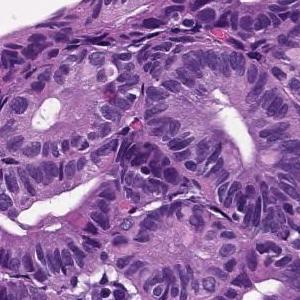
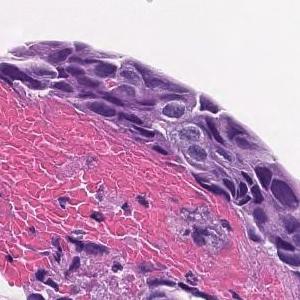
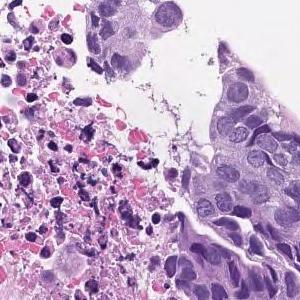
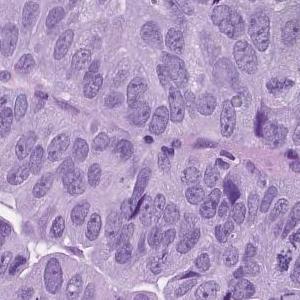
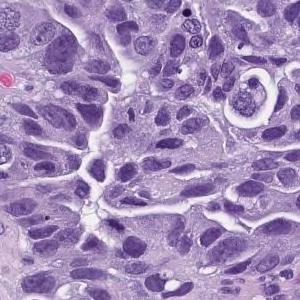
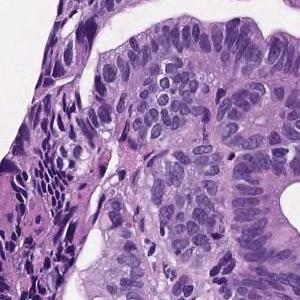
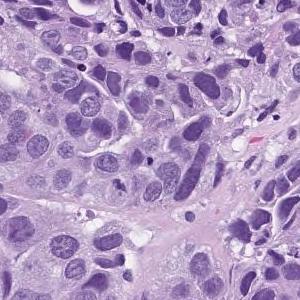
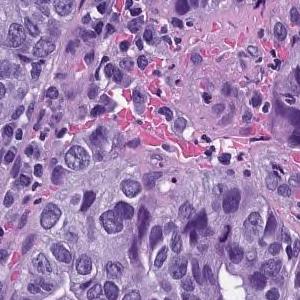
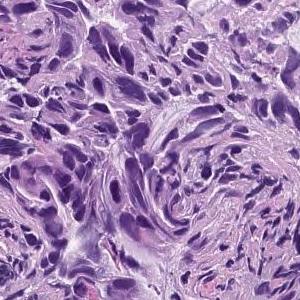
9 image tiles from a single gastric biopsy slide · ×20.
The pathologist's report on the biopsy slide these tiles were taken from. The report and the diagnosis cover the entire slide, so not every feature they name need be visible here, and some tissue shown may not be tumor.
In the superficial epithelium, tumor tissue that invades by forming medium-sized to small, irregular ducts is observed. moderately differentiated tubular adenocarcinoma.
